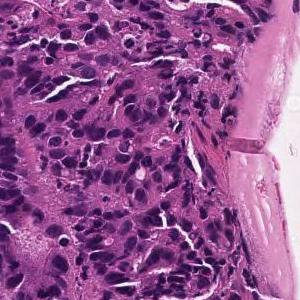
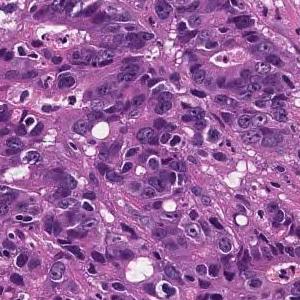
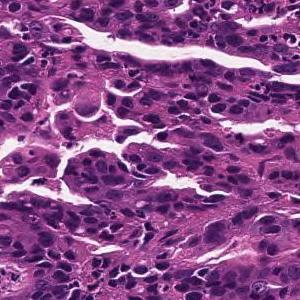
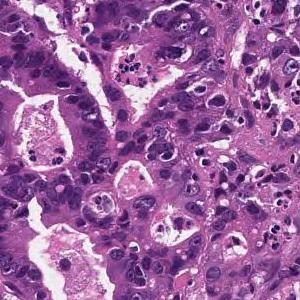
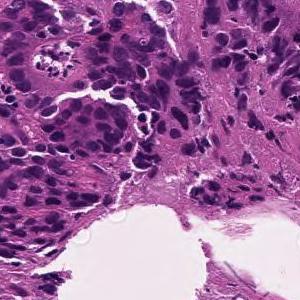
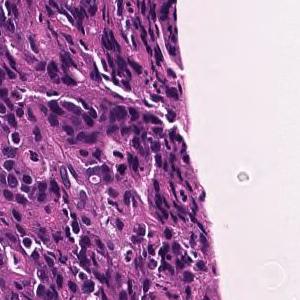
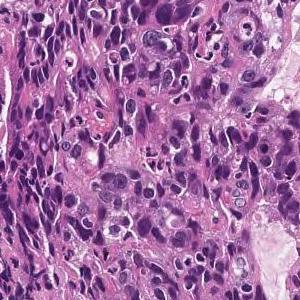
7 tiles cut from one stomach biopsy slide; ×20; hematoxylin and eosin stain.
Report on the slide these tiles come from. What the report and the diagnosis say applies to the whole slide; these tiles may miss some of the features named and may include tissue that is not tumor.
In the superficial epithelium, tumor tissue that invades by forming medium-sized to small, irregular ducts is observed. moderately differentiated tubular adenocarcinoma.
